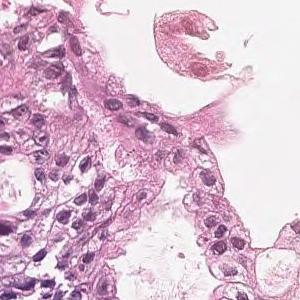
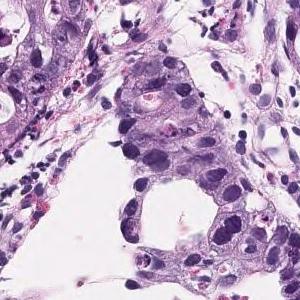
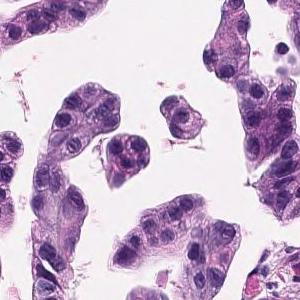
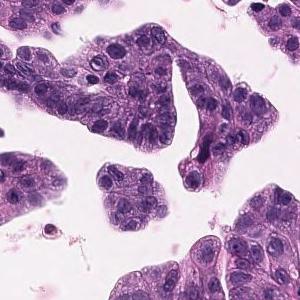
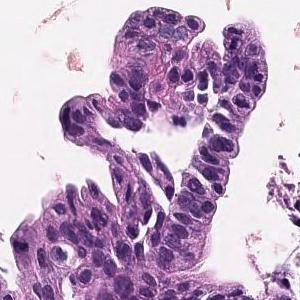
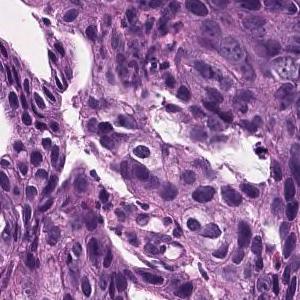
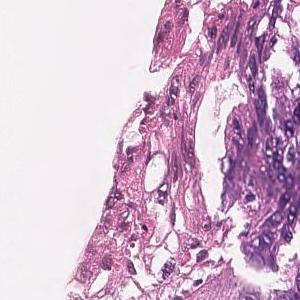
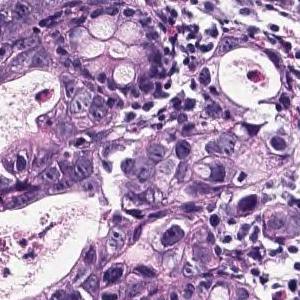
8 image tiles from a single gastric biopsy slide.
Diagnostic report for the slide these tiles come from. The report and the diagnosis cover the entire slide, so not every feature they name need be visible here, and some tissue shown may not be tumor.
Tumor cells are large, highly columnar, large club-shaped nuclei, and are associated with chromatin aggregation. Papillary adenocarcinoma.
